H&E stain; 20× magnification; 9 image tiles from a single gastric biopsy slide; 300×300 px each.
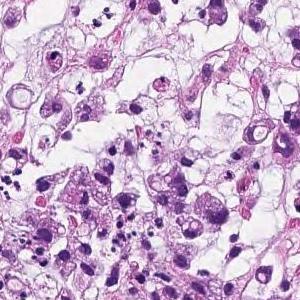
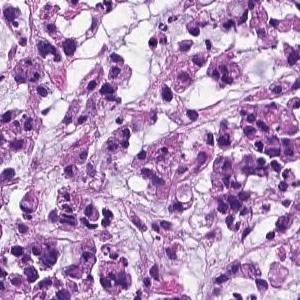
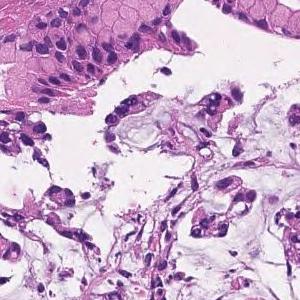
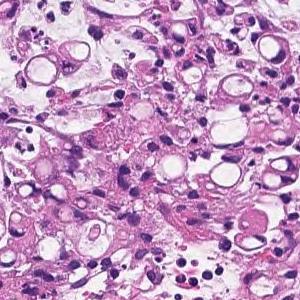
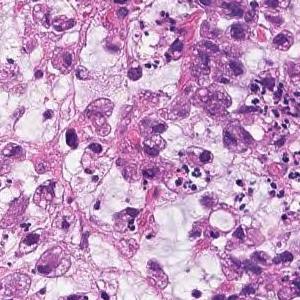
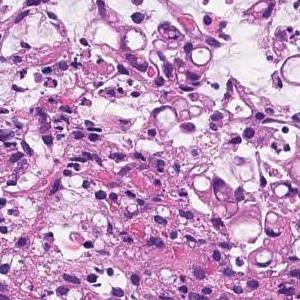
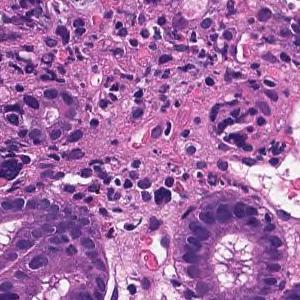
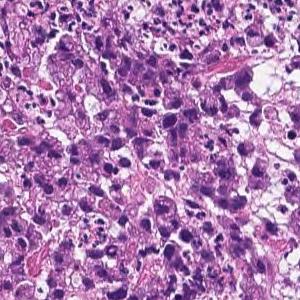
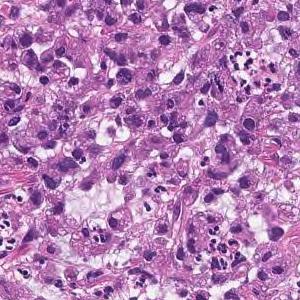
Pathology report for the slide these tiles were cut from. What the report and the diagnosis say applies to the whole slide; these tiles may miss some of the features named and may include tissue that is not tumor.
Tumor tissue consisting of cord-like or small, irregular glandular ducts fused and infiltrated is observed in the superficial epithelium. Poorly differentiated adenocarcinoma, non-solid type
The term "non-solid type" comes from the Japanese Classification of Gastric Carcinoma.
